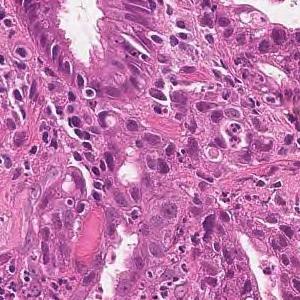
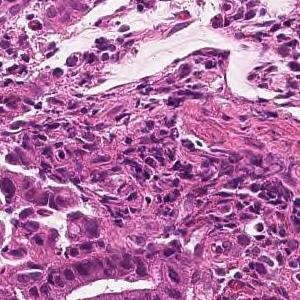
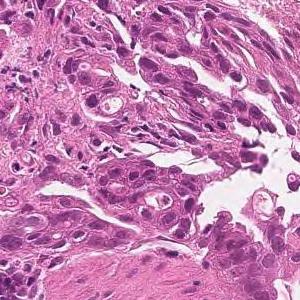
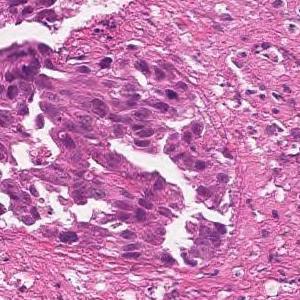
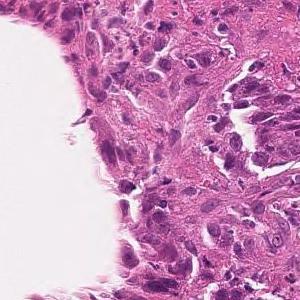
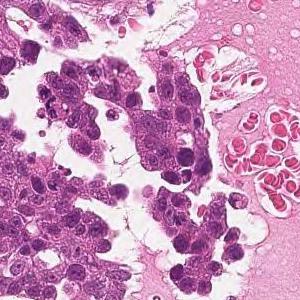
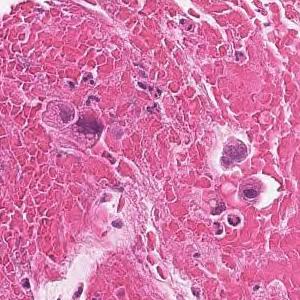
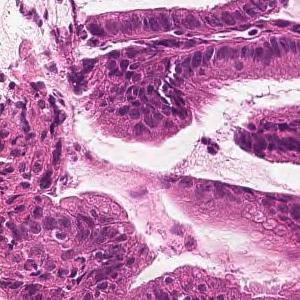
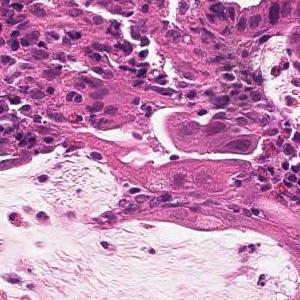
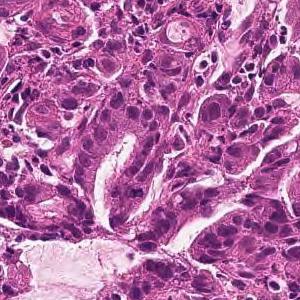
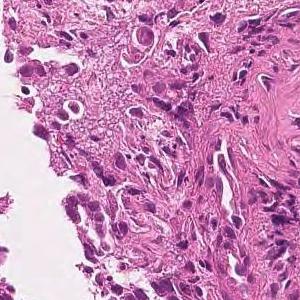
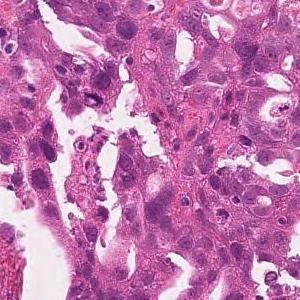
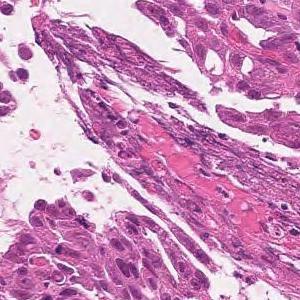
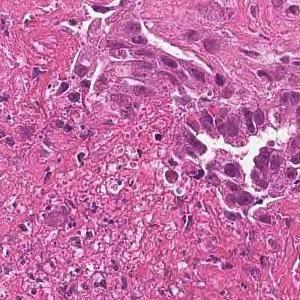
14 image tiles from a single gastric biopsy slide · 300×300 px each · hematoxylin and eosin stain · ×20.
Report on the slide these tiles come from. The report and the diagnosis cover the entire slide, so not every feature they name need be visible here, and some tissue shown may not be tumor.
Tumor tissue consisting of large papillary structures is found in the superficial epithelium. Papillary adenocarcinoma.
